7 image tiles from a single gastric biopsy slide; H&E.
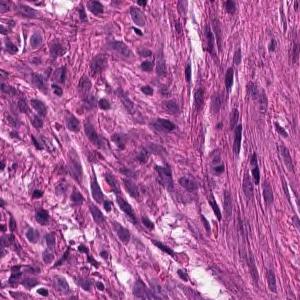
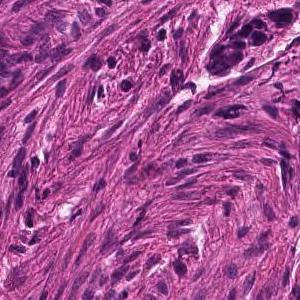
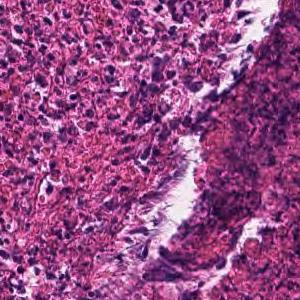
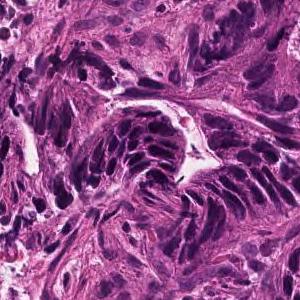
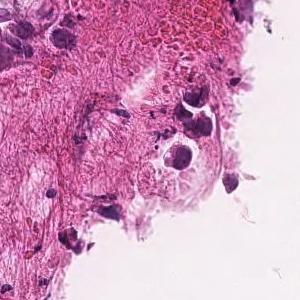
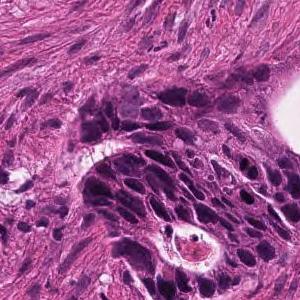
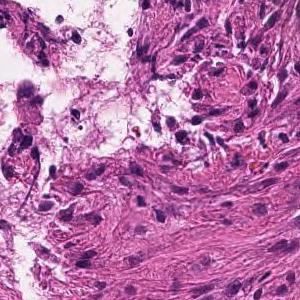
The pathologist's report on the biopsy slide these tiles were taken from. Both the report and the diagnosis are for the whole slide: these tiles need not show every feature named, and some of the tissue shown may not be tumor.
In the superficial epithelium, tumor tissue that invades by forming medium-sized to small, irregular ducts is observed. moderately differentiated tubular adenocarcinoma.
